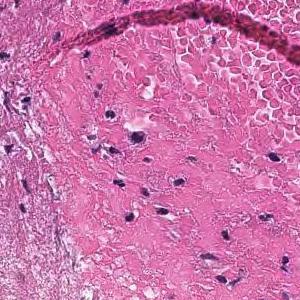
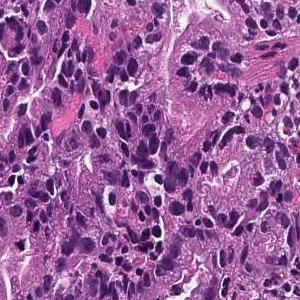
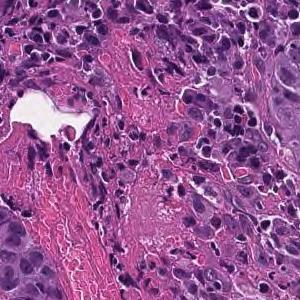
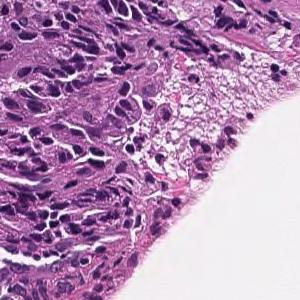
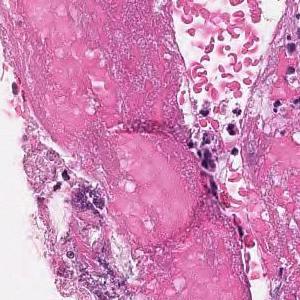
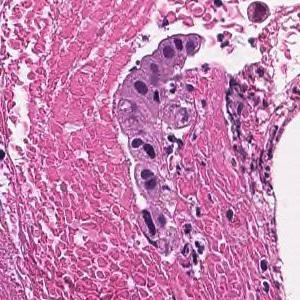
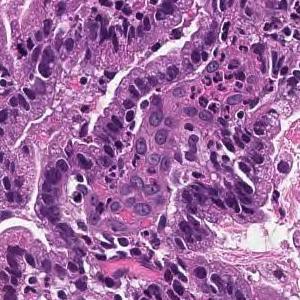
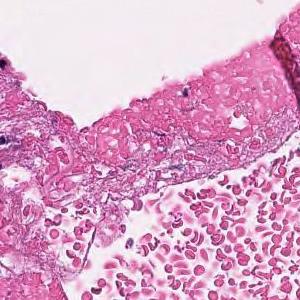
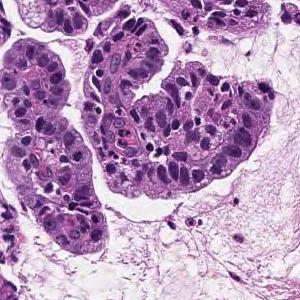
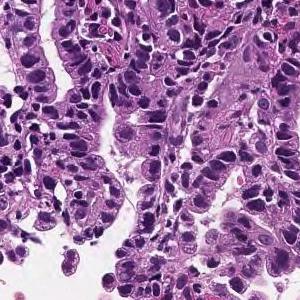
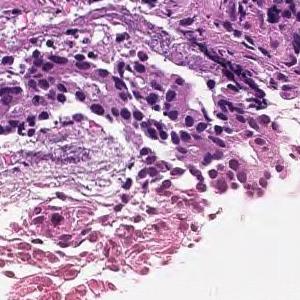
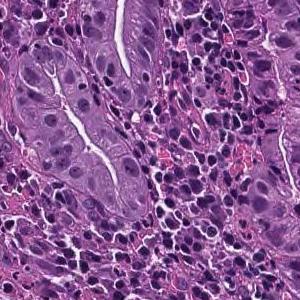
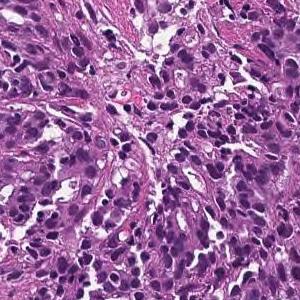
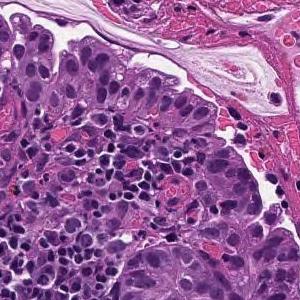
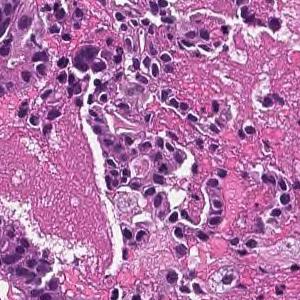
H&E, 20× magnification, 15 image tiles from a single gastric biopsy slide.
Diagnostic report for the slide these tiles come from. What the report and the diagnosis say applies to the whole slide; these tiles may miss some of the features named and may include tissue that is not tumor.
On the superficial epithelium, tumor tissue that infiltrates by forming medium-sized papillary or small irregular ducts is observed. Papillary adenocarcinoma
